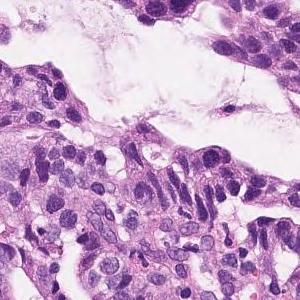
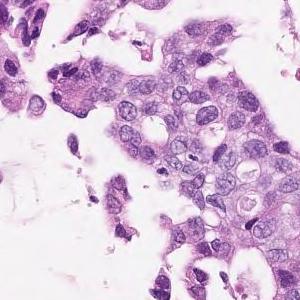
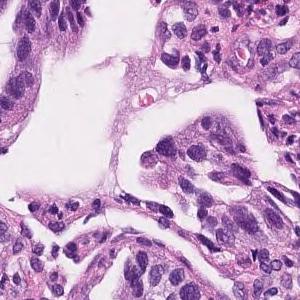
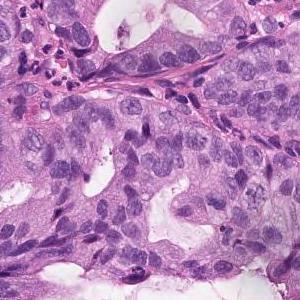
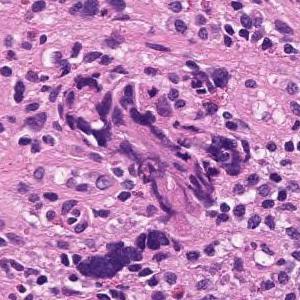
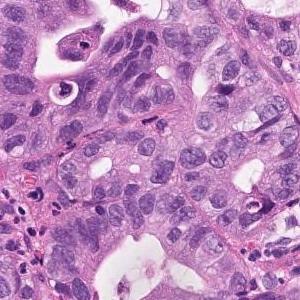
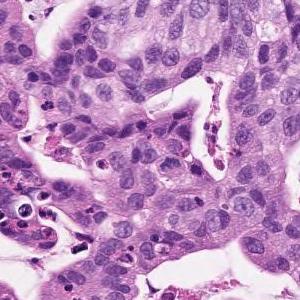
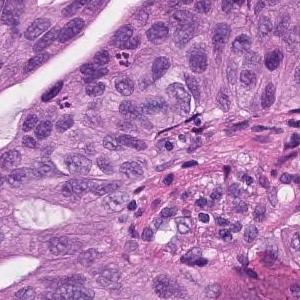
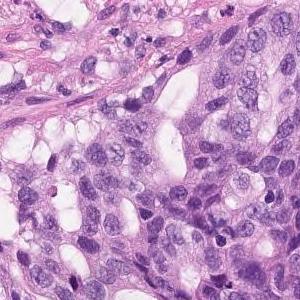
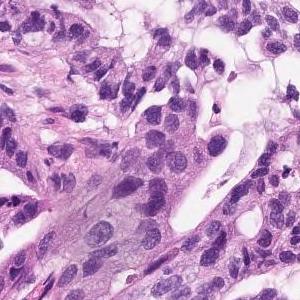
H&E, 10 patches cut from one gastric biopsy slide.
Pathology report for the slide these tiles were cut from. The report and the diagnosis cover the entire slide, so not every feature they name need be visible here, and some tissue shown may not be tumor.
Atypical epithelium forming papillary or sieving ducts and infiltrating growth is observed. Papillary adenocarcinoma.
